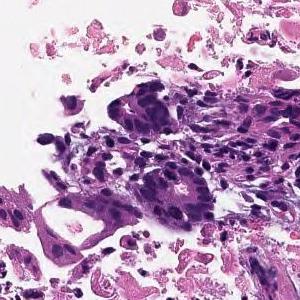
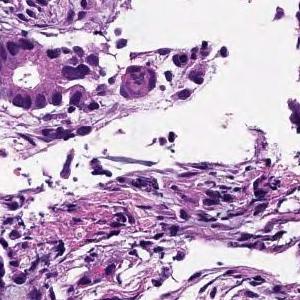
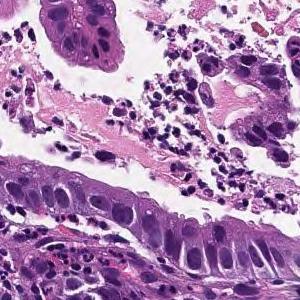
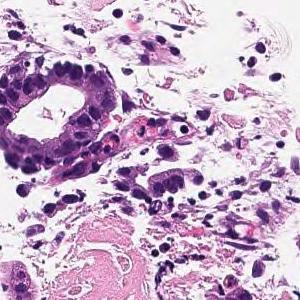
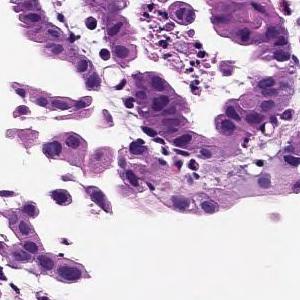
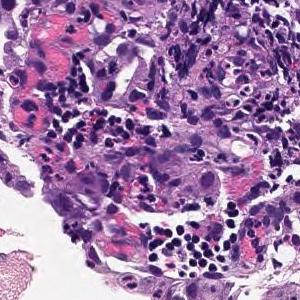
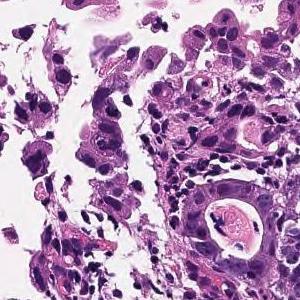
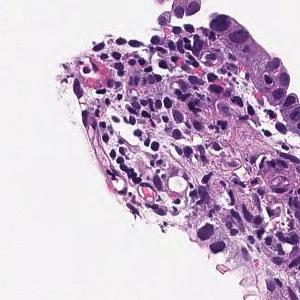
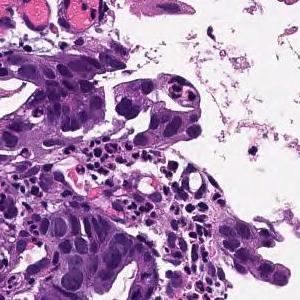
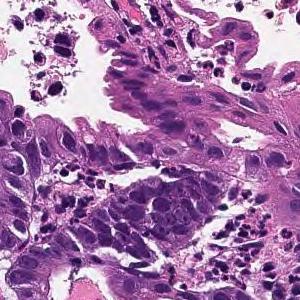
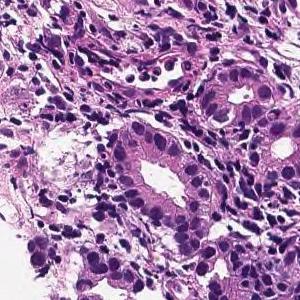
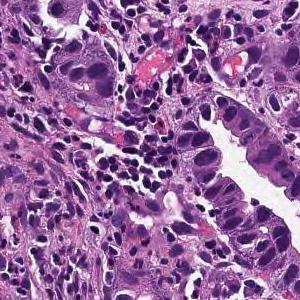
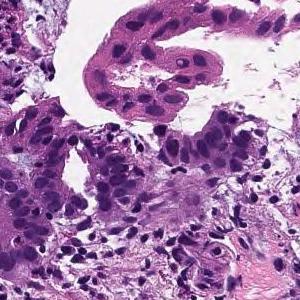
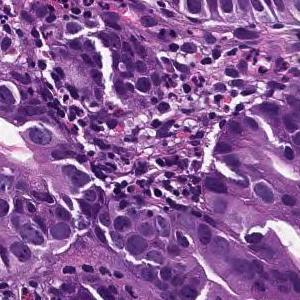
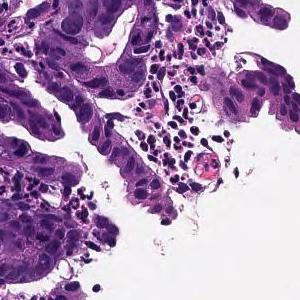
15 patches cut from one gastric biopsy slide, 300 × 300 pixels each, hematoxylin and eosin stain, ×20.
The pathologist's report on the biopsy slide these tiles were taken from. Both the report and the diagnosis are for the whole slide: these tiles need not show every feature named, and some of the tissue shown may not be tumor.
In the superficial epithelium, tumor tissue that invades by forming medium-sized to small, irregular ducts is observed. moderately differentiated tubular adenocarcinoma.
